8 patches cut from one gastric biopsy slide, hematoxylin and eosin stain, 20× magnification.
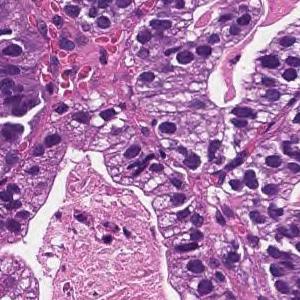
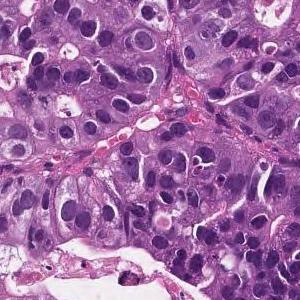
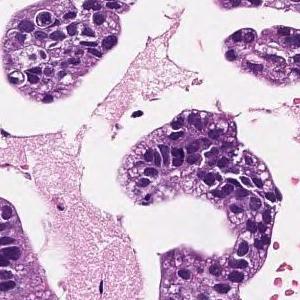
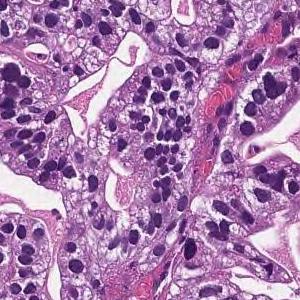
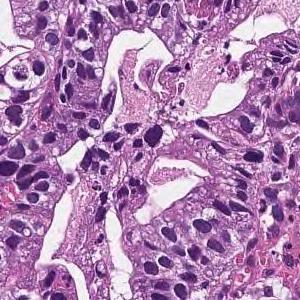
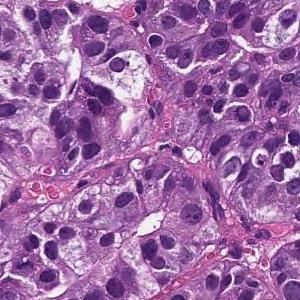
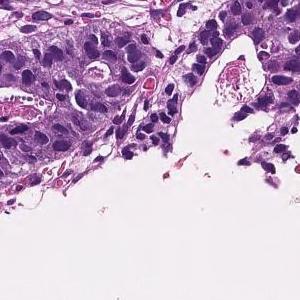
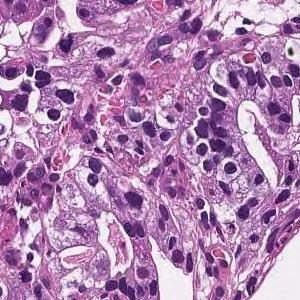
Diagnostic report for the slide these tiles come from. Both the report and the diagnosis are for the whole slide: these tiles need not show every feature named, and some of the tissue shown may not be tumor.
On the superficial epithelium, tumor tissue consisting of large, irregular glandular ducts partially fused and infiltrated is observed. Well to moderately differentiated tubular adenocarcinoma (well differentiated tubular adenocarcinoma, moderately differentiated tubular adenocarcinoma)
Histological subtype: Well to moderately differentiated tubular adenocarcinoma.
